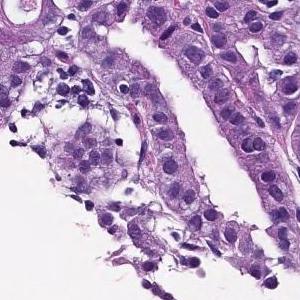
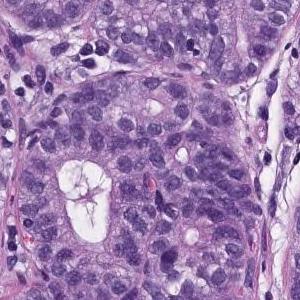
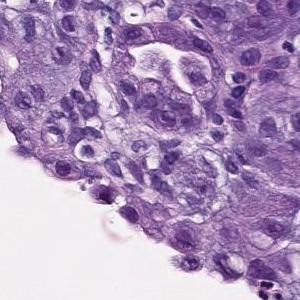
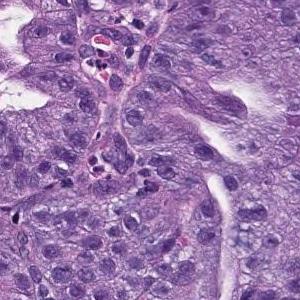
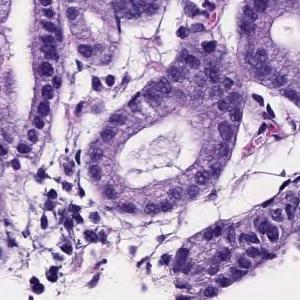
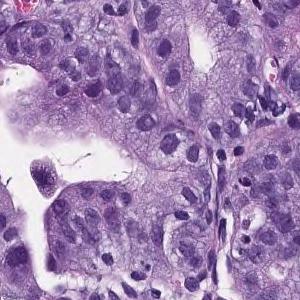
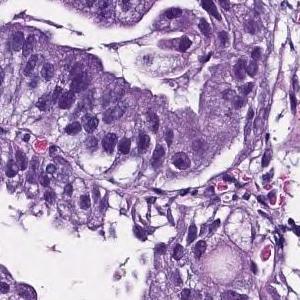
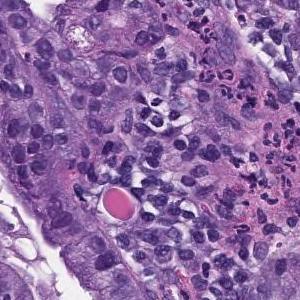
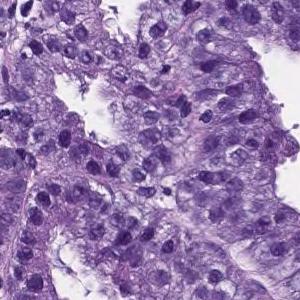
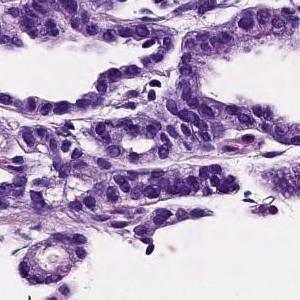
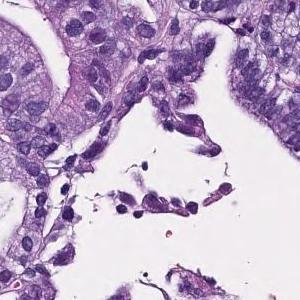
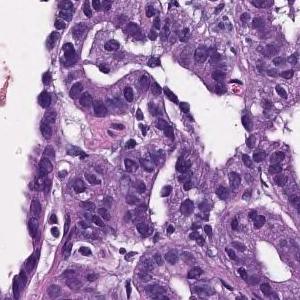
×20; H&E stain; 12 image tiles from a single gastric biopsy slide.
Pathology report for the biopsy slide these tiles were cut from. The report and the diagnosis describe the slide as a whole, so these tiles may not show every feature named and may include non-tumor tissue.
On the superficial epithelium, tumor tissue that infiltrates by forming medium-sized papillary or small irregular ducts is observed. Papillary adenocarcinoma
